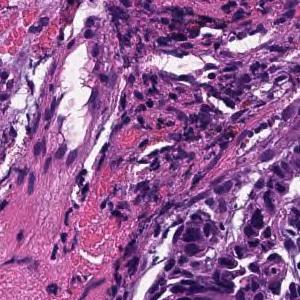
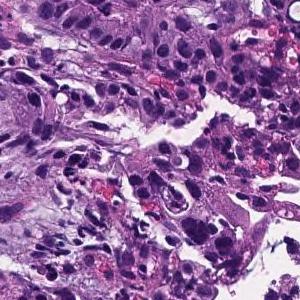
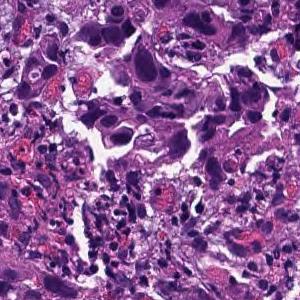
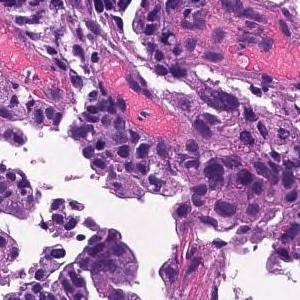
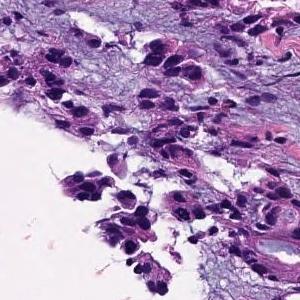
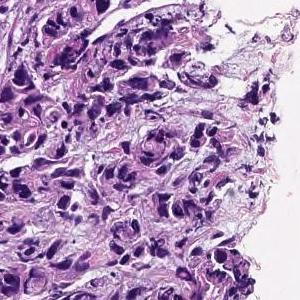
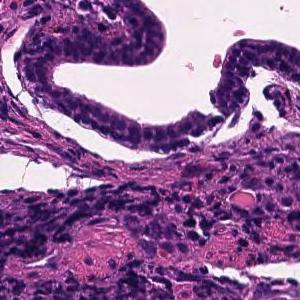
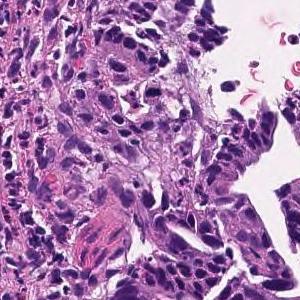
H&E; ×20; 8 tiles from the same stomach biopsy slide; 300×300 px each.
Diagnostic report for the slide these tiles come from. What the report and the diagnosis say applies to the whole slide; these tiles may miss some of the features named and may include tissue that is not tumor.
Tumor tissue consisting of cord-like or small, irregular glandular ducts fused and infiltrated is observed in the superficial epithelium. Poorly differentiated adenocarcinoma, non-solid type
"Non-solid type" is a category of the Japanese Classification of Gastric Carcinoma.
